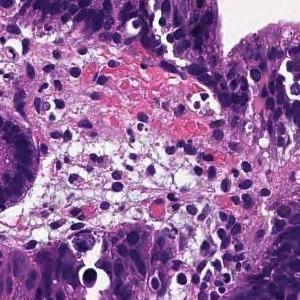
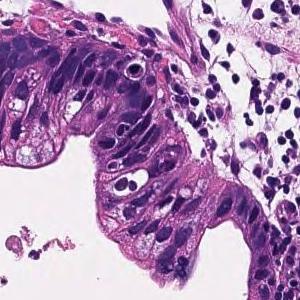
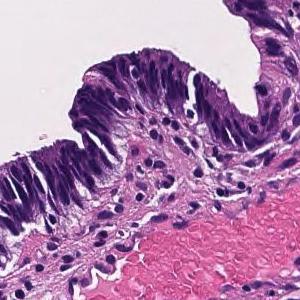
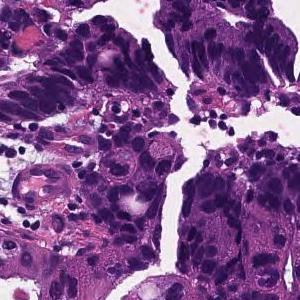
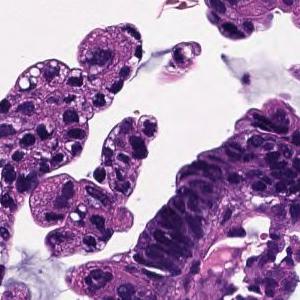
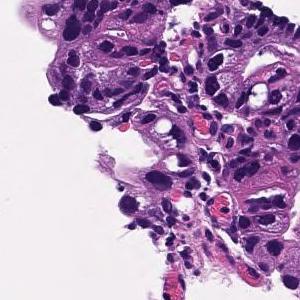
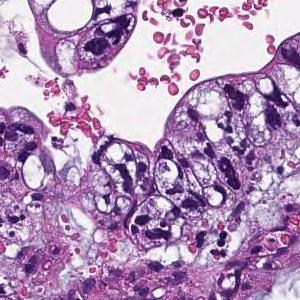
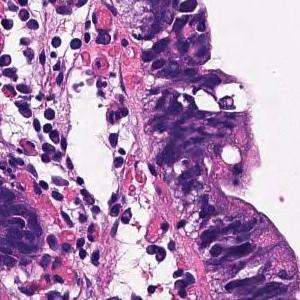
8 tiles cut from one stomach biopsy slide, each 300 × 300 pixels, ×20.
Pathology report for the biopsy slide these tiles were cut from. The report and the diagnosis cover the entire slide, so not every feature they name need be visible here, and some tissue shown may not be tumor.
In the superficial epithelium, tumor tissue that invades by forming medium-sized to small, irregular ducts is observed. moderately differentiated tubular adenocarcinoma.
